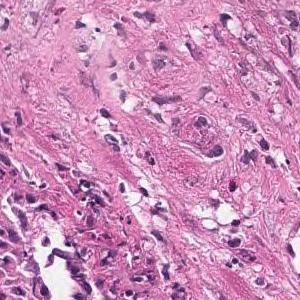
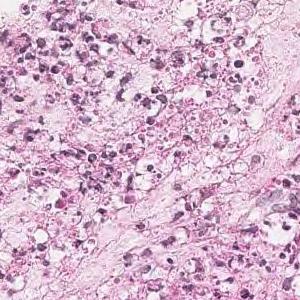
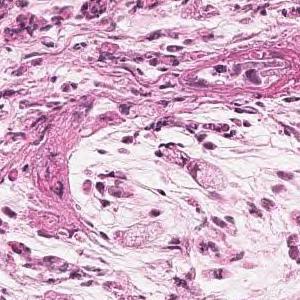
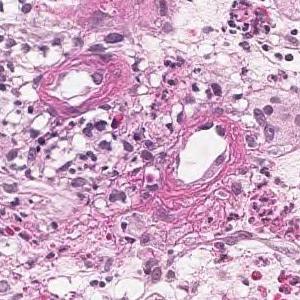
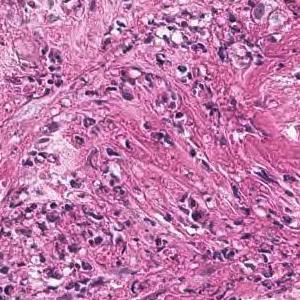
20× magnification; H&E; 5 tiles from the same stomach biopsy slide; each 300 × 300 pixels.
The pathologist's report on the biopsy slide these tiles were taken from. The report and the diagnosis cover the entire slide, so not every feature they name need be visible here, and some tissue shown may not be tumor.
Tumor tissue is observed in which atypical epithelial cells with mucus in the vesicles proliferate while being isolated. Signet ring cell carcinoma
